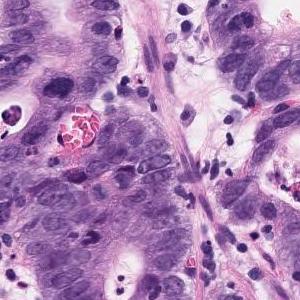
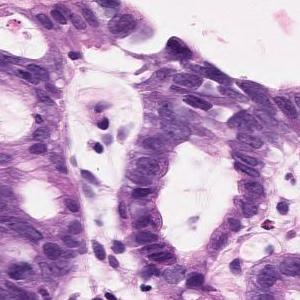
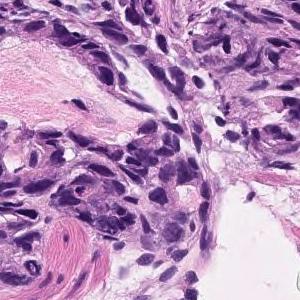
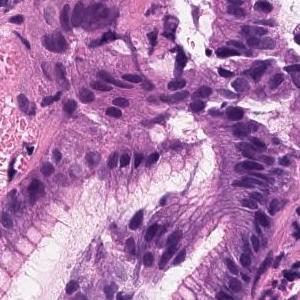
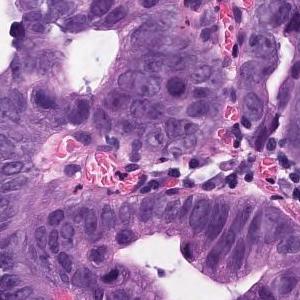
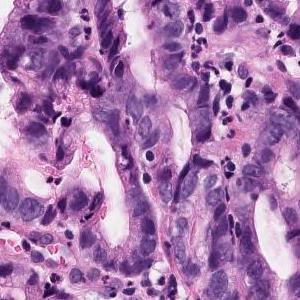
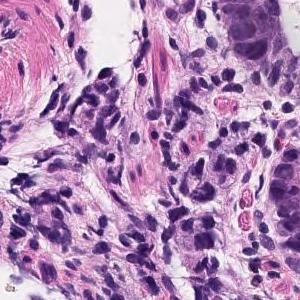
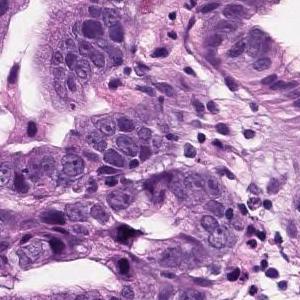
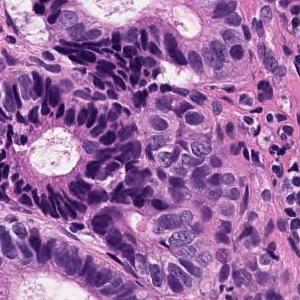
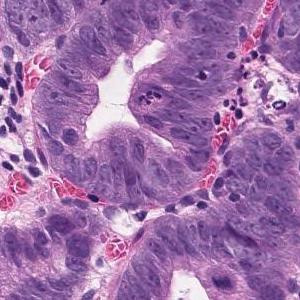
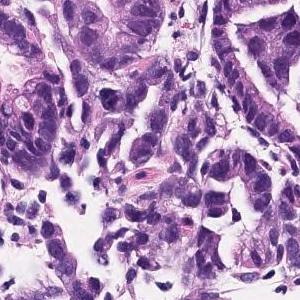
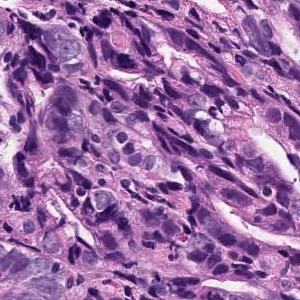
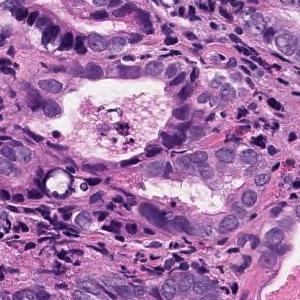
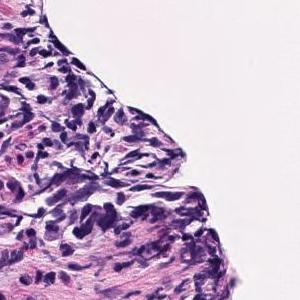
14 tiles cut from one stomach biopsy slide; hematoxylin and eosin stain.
The pathologist's report on the biopsy slide these tiles were taken from. The findings and the diagnosis refer to the entire slide; these tiles show only part of it, possibly with non-tumor tissue, and may not show every feature named.
The swollen atypical epithelium of the nucleus forms an irregular ductal structure and proliferates. moderately differentiated tubular adenocarcinoma
